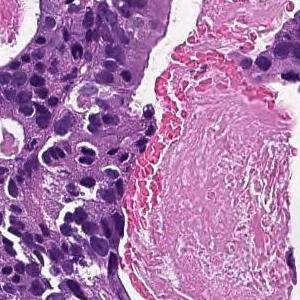
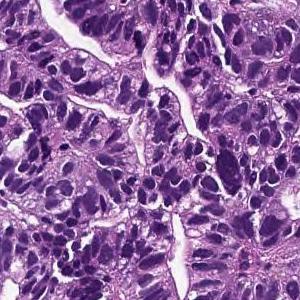
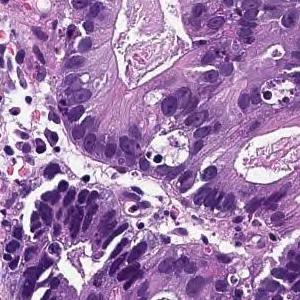
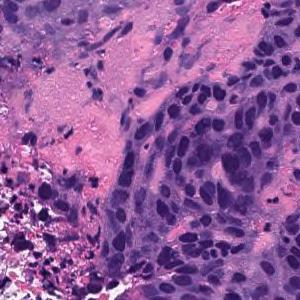
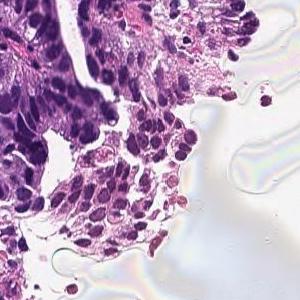
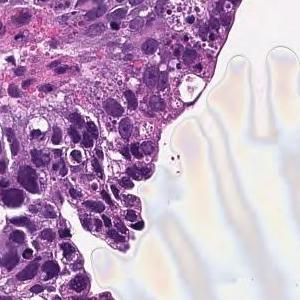
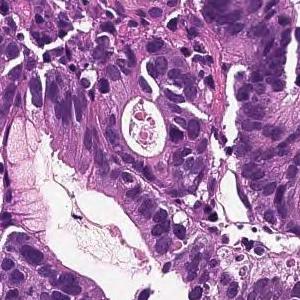
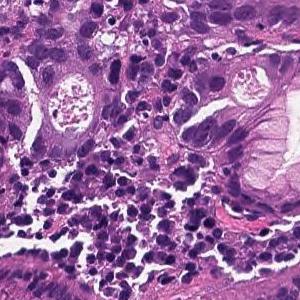
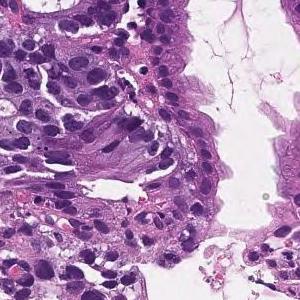
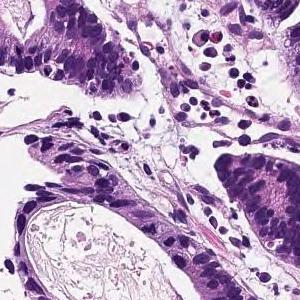
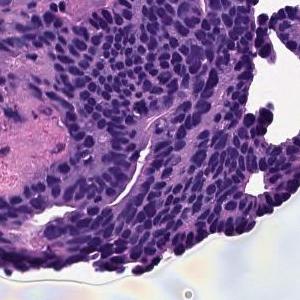
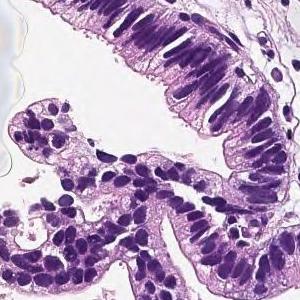
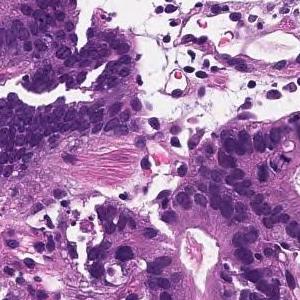
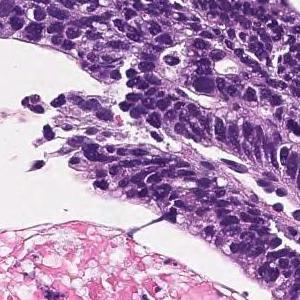
14 patches cut from one gastric biopsy slide, 300×300 px each, H&E stain, scanned at ×20.
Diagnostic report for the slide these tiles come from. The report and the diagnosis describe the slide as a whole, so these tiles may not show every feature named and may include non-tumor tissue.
In the superficial epithelium, tumor tissue that invades by forming medium-sized to small, irregular ducts is observed. moderately differentiated tubular adenocarcinoma.
